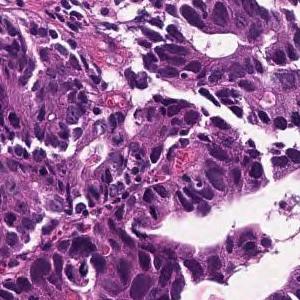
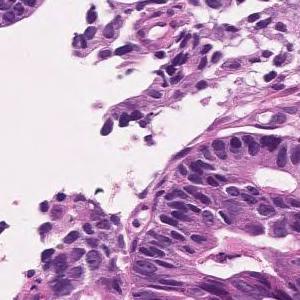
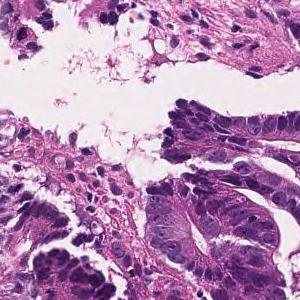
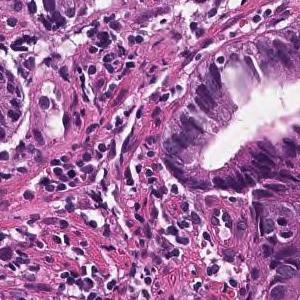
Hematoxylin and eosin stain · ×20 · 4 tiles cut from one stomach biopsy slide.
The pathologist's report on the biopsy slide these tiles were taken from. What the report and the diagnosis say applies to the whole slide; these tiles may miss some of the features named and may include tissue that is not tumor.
In the superficial epithelium, tumor tissue that invades by forming medium-sized to small, irregular ducts is observed. moderately differentiated tubular adenocarcinoma.
